15 tiles from the same stomach biopsy slide · ×20 · hematoxylin and eosin stain.
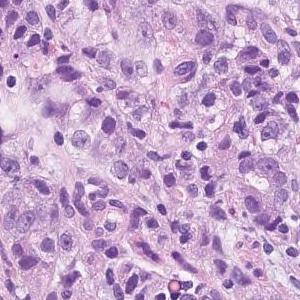
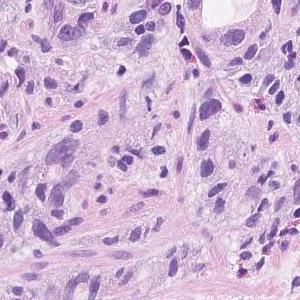
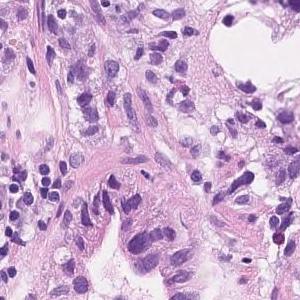
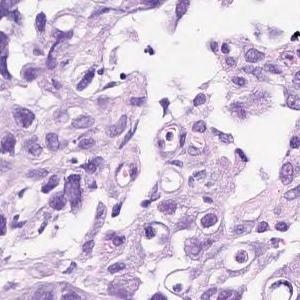
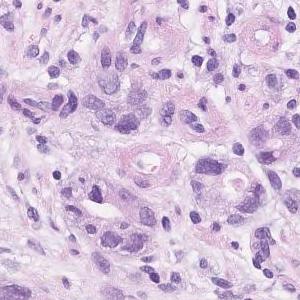
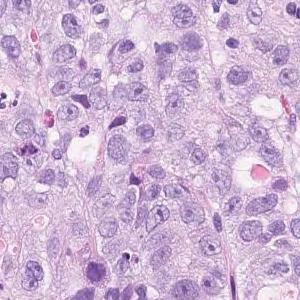
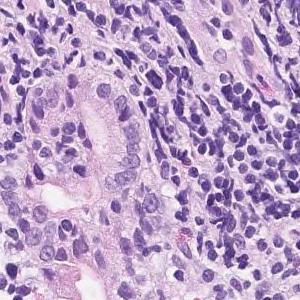
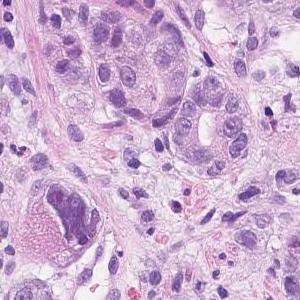
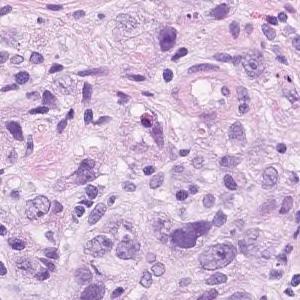
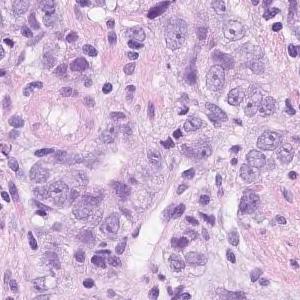
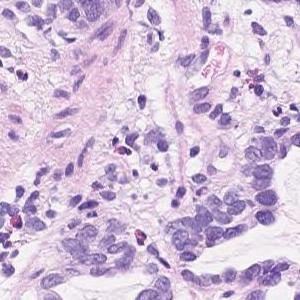
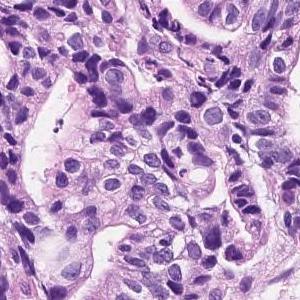
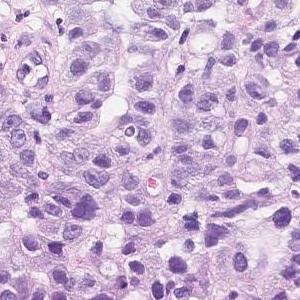
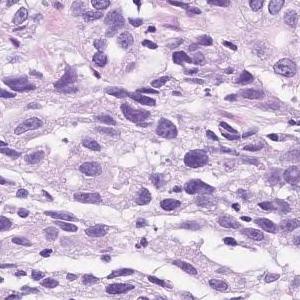
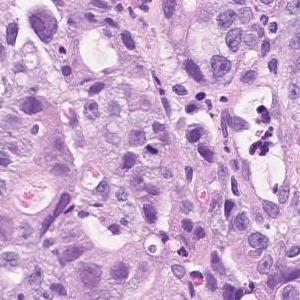
Pathology report for the biopsy slide these tiles were cut from. The report and the diagnosis cover the entire slide, so not every feature they name need be visible here, and some tissue shown may not be tumor.
In the superficial epithelium, tumor tissue that invades by forming medium-sized to small, irregular ducts is observed. Moderately to poorly differentiated adenocarcinoma
